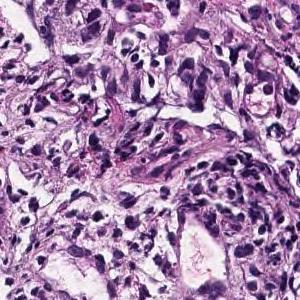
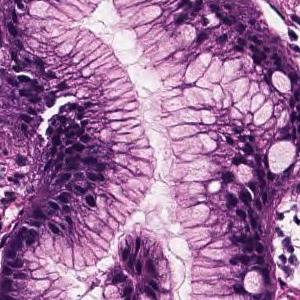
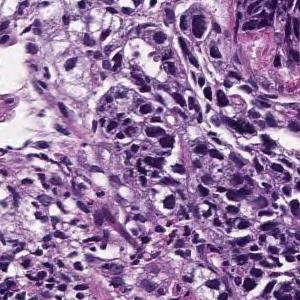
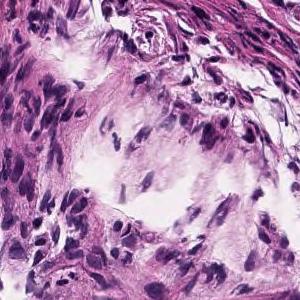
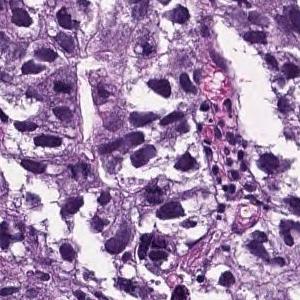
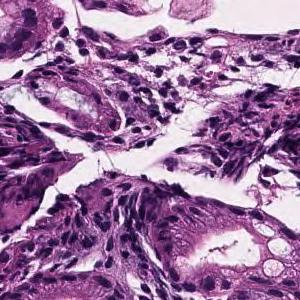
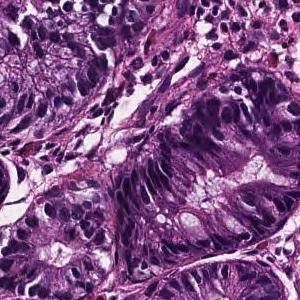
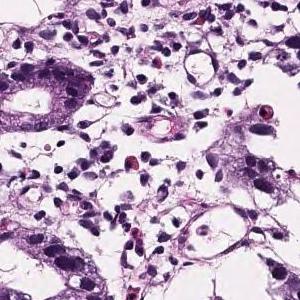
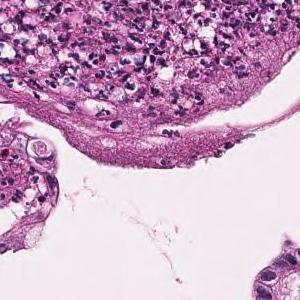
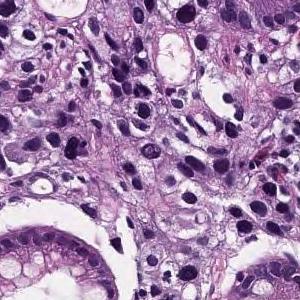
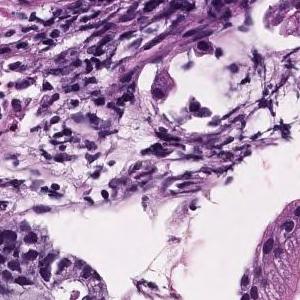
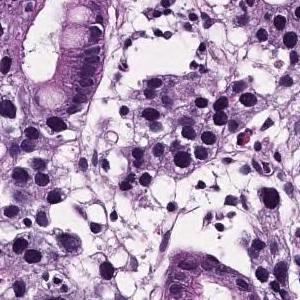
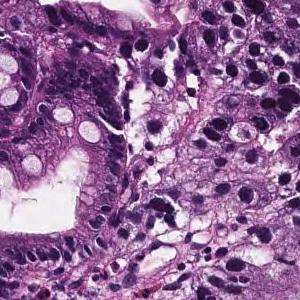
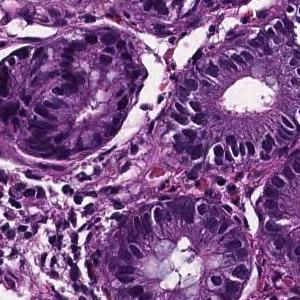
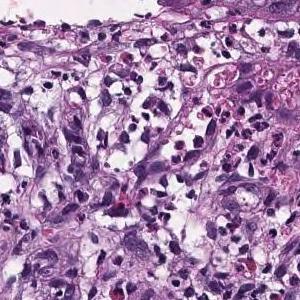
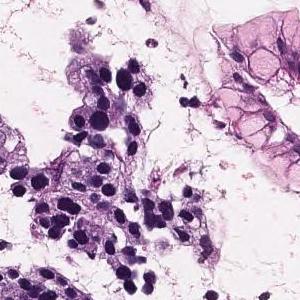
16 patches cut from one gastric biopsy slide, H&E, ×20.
The pathologist's report on the biopsy slide these tiles were taken from. The report and the diagnosis describe the slide as a whole, so these tiles may not show every feature named and may include non-tumor tissue.
In the superficial epithelium, medium to small irregular gland ducts are formed, and in some cases, the ducts are fused to show solid alveolar lesions and infiltrating tumor tissue is observed. Moderately to poorly differentiated adenocarcinoma
